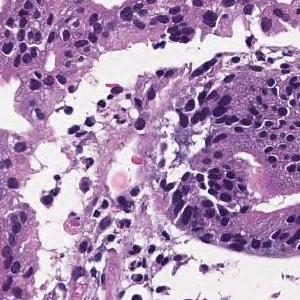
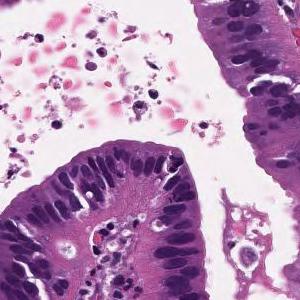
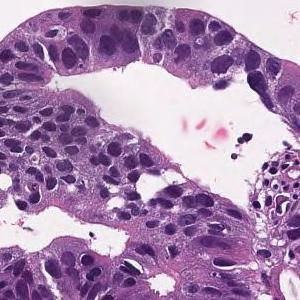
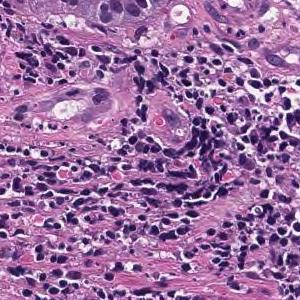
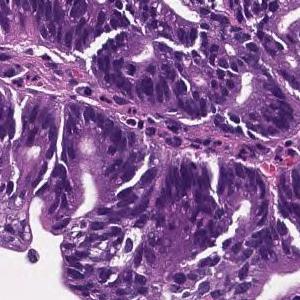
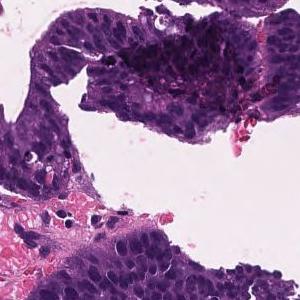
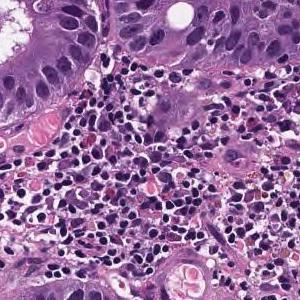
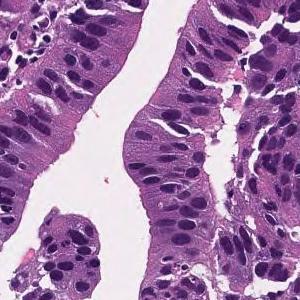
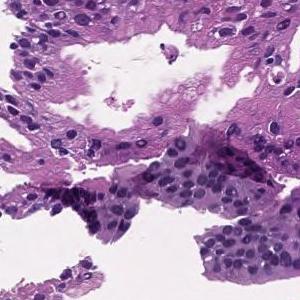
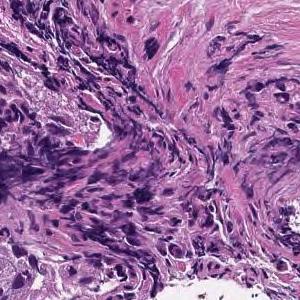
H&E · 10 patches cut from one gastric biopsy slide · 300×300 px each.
Pathology report for the biopsy slide these tiles were cut from. The report and the diagnosis cover the entire slide, so not every feature they name need be visible here, and some tissue shown may not be tumor.
Tumor cells are large, highly columnar, large club-shaped nuclei, and are associated with chromatin aggregation. Papillary adenocarcinoma.
